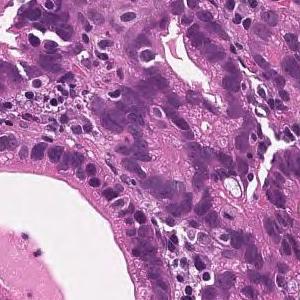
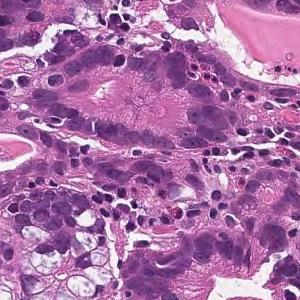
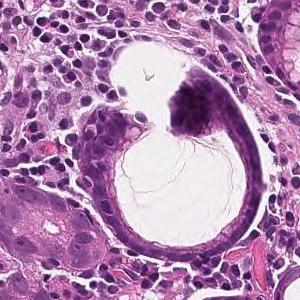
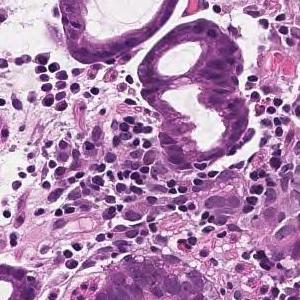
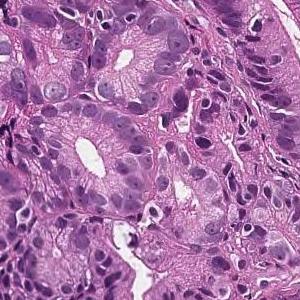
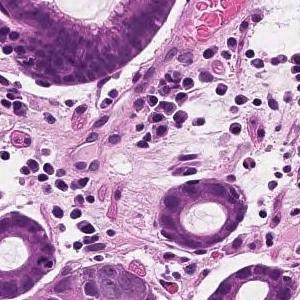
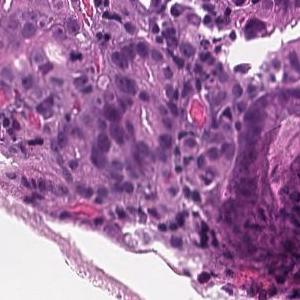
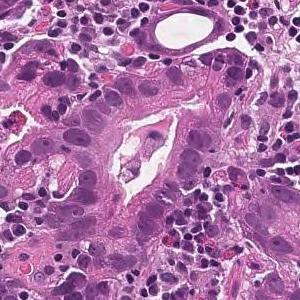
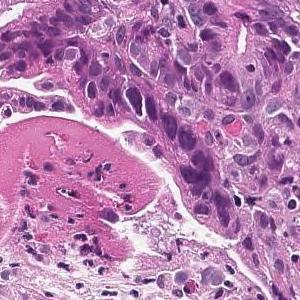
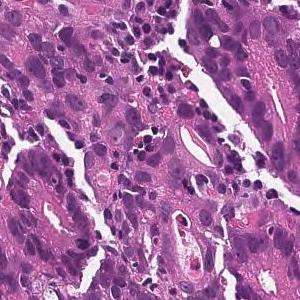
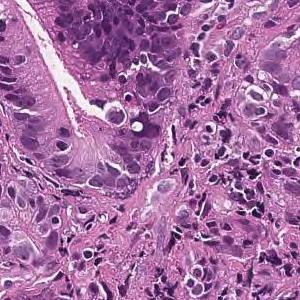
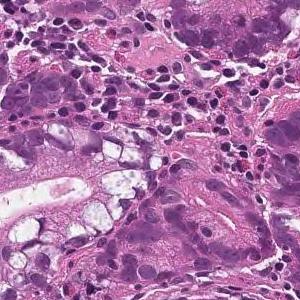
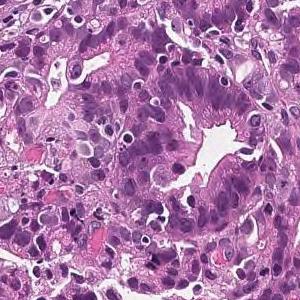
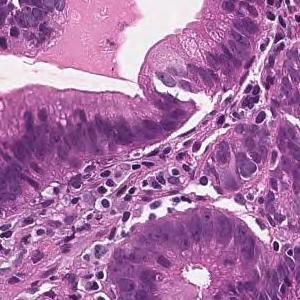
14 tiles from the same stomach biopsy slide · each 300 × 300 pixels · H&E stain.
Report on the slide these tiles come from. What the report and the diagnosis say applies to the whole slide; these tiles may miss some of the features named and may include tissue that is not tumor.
From the superficial epithelium to the muscularis mucosae, tumor tissue consisting of medium-sized and irregular glandular ducts infiltrating is observed. Well differentiated tubular adenocarcinoma
